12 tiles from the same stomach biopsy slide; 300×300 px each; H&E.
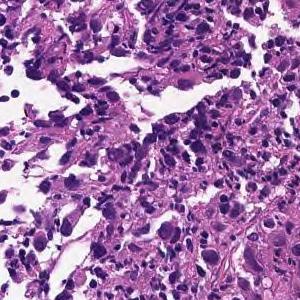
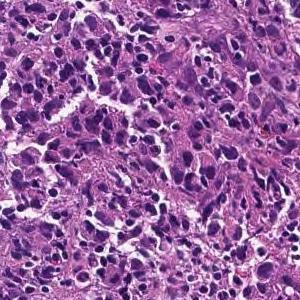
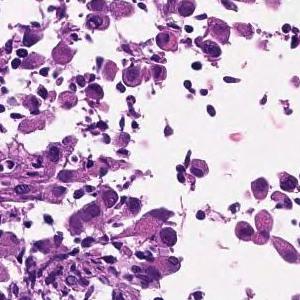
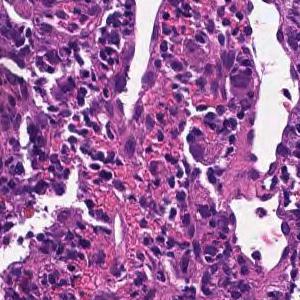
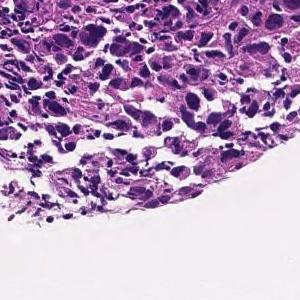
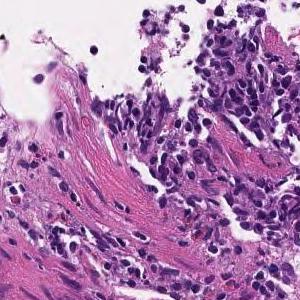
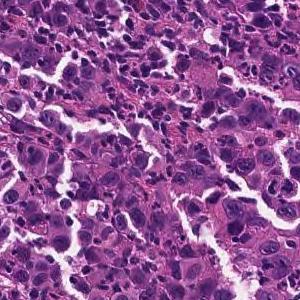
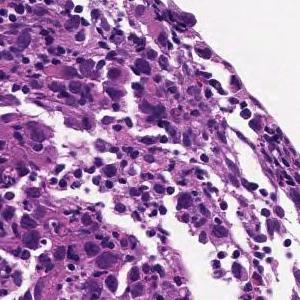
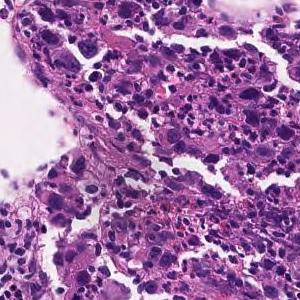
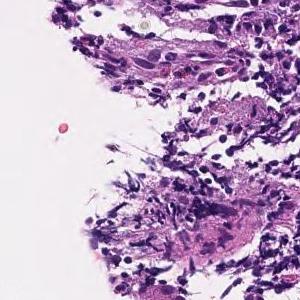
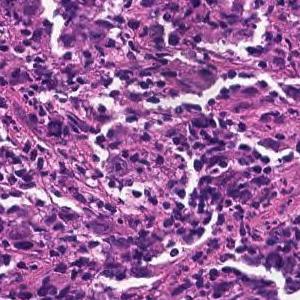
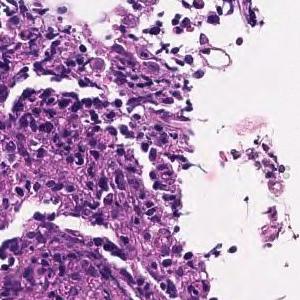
Pathology report for the slide these tiles were cut from. The findings and the diagnosis refer to the entire slide; these tiles show only part of it, possibly with non-tumor tissue, and may not show every feature named.
The superficial epithelium shows a large sheet-like shape, and some tumor tissue infiltrates with small irregular ducts. Poorly differentiated adenocarcinoma, solid-type (poorly differentiated adenocarcinoma, solid type)
Classified as poorly differentiated adenocarcinoma, solid type, a category of the Japanese Classification of Gastric Carcinoma; in the WHO 2019 classification it is tubular adenocarcinoma, poorly differentiated.
